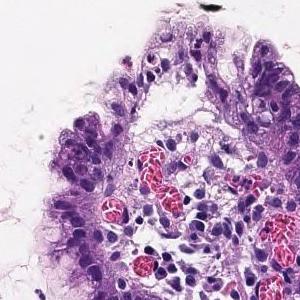
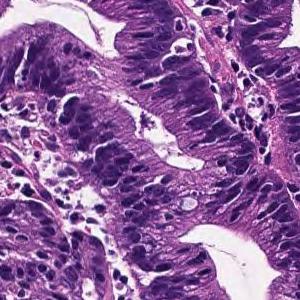
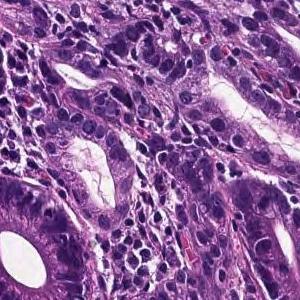
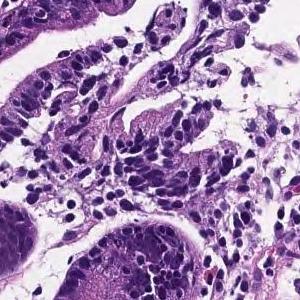
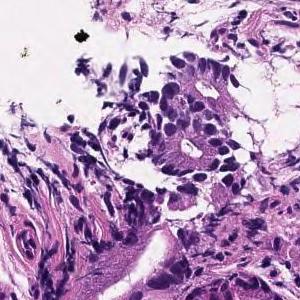
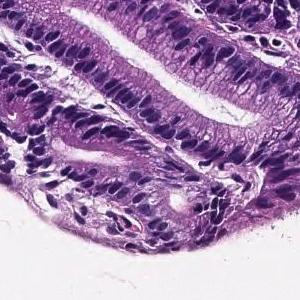
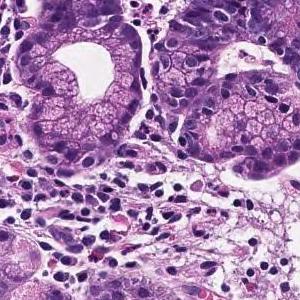
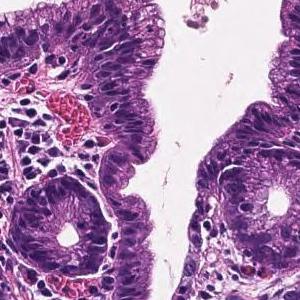
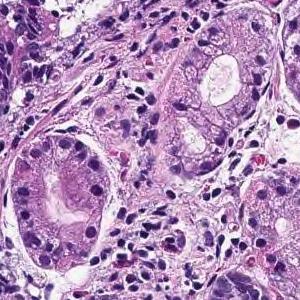
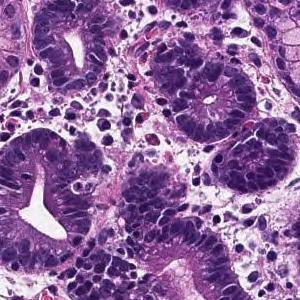
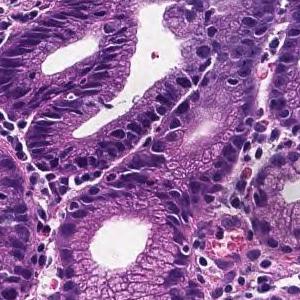
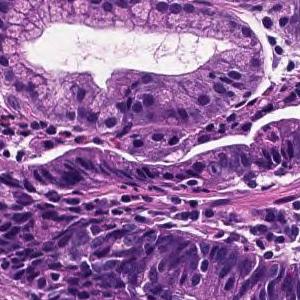
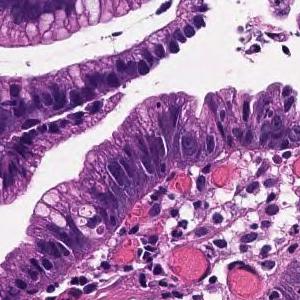
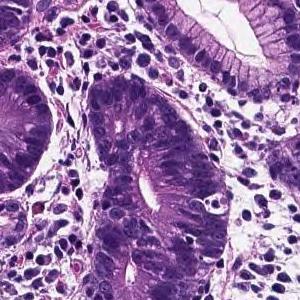
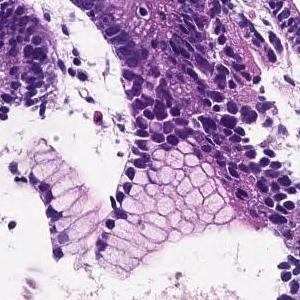
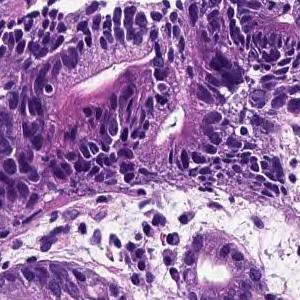
Scanned at ×20, H&E stain, 16 tiles cut from one stomach biopsy slide, each 300 × 300 pixels.
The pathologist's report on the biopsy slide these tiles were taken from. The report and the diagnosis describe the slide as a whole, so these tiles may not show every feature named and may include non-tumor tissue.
From the superficial epithelium to the muscularis mucosae, tumor tissue consisting of medium-sized and irregular glandular ducts infiltrating is observed. Well differentiated tubular adenocarcinoma
